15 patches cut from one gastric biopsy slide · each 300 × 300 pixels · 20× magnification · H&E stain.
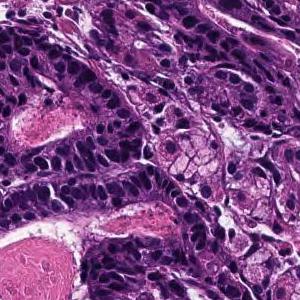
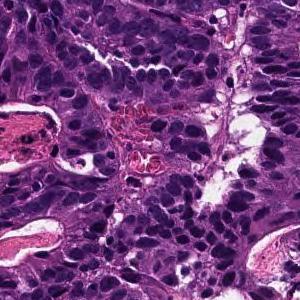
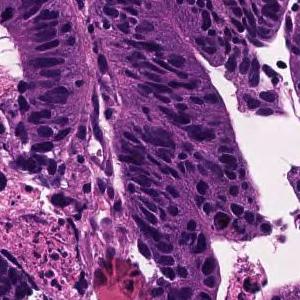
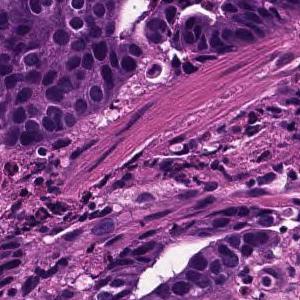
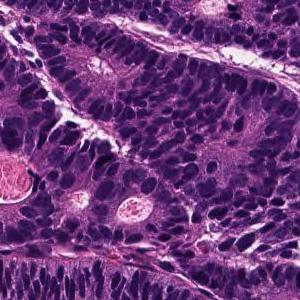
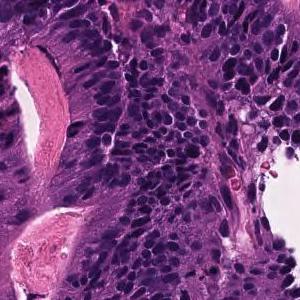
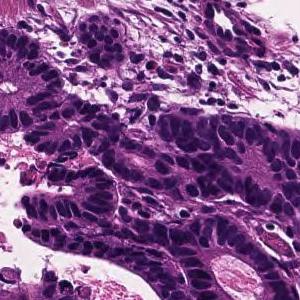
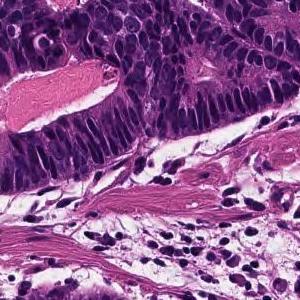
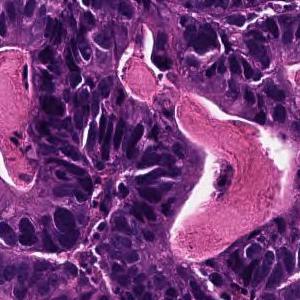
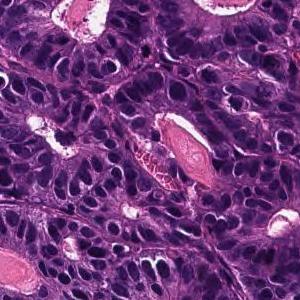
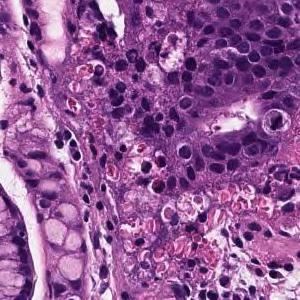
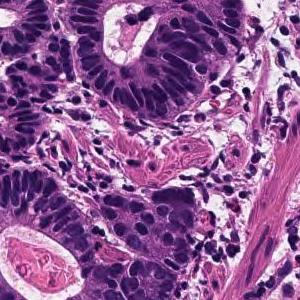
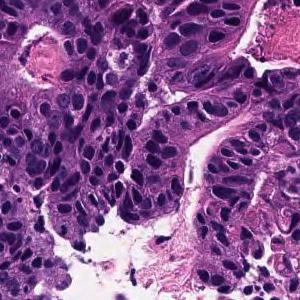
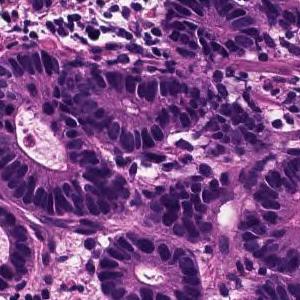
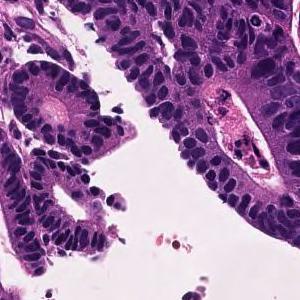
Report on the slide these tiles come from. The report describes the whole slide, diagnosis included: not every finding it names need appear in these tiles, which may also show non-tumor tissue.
In the superficial epithelium, tumor tissue that invades by forming medium-sized to small, irregular ducts is observed. moderately differentiated tubular adenocarcinoma.
